5 tiles cut from one stomach biopsy slide, 300×300 px each, ×20.
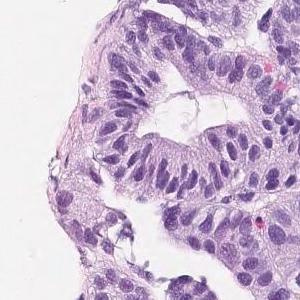
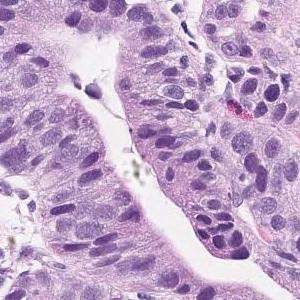
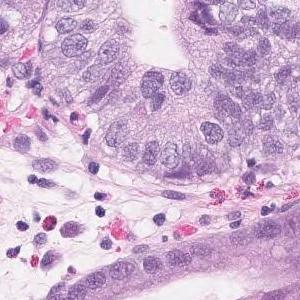
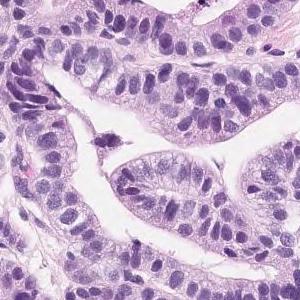
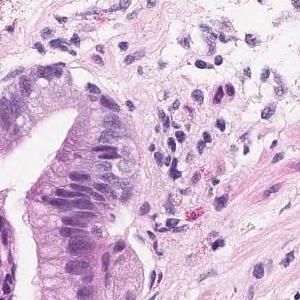
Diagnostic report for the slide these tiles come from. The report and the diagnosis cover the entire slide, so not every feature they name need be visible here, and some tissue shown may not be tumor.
Short atypical epithelium with swelling of the nucleus shows proliferating, large and small irregular ductal structures. Well to moderately differentiated tubular adenocarcinoma (well differentiated tubular adenocarcinoma-moderately differentiated tubular adenocarcinoma)
Histologic type: Well to moderately differentiated tubular adenocarcinoma.
